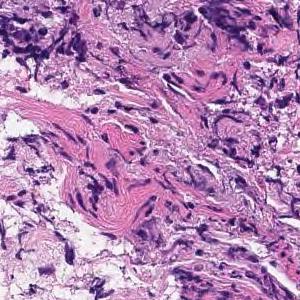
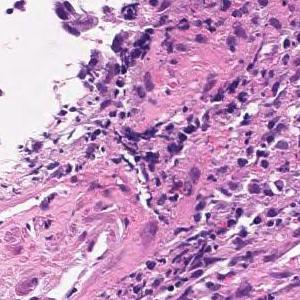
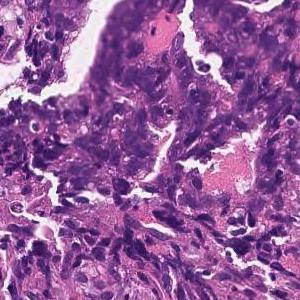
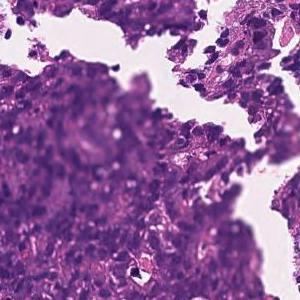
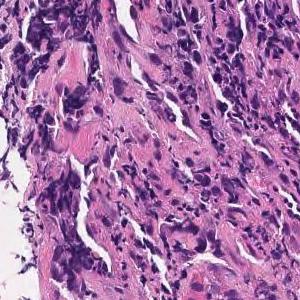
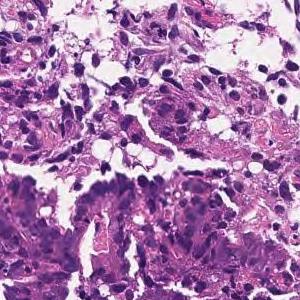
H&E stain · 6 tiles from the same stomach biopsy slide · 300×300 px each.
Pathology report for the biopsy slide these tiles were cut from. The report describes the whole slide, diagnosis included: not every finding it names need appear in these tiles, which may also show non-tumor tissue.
Tumor tissue consisting of medium-sized, cord-like or irregular glandular infiltration is observed in the superficial epithelium. Poorly differentiated adenocarcinoma, non-solid type or moderately differentiated tubular adenocarcinoma
Subtype: Moderately to poorly differentiated adenocarcinoma.
"Non-solid type" is a category of the Japanese Classification of Gastric Carcinoma.
